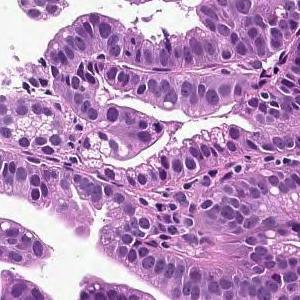
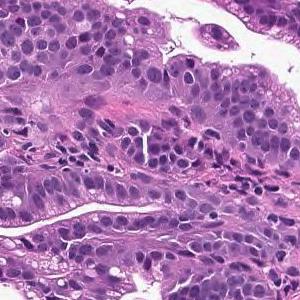
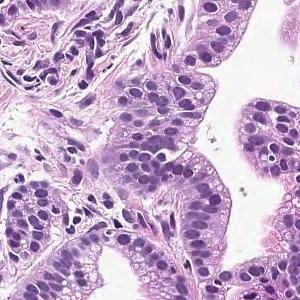
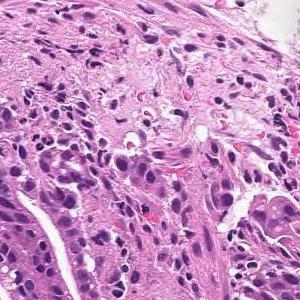
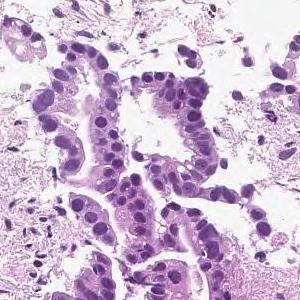
Hematoxylin and eosin stain, 5 patches cut from one gastric biopsy slide, each 300 × 300 pixels.
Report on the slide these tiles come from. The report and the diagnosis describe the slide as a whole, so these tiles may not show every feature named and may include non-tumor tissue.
On the superficial epithelium, tumor tissue that infiltrates by forming medium-sized papillary or small irregular ducts is observed. Papillary adenocarcinoma
